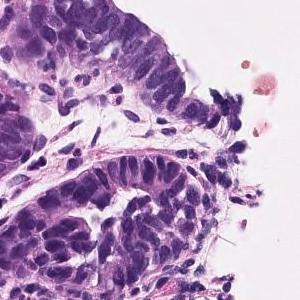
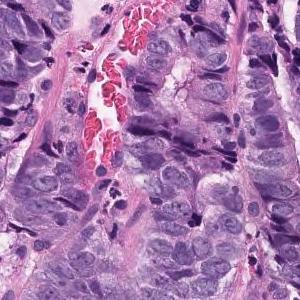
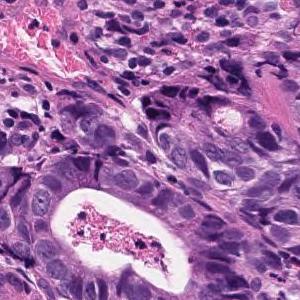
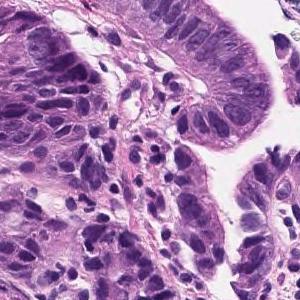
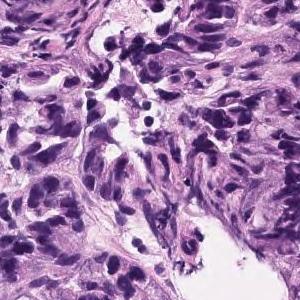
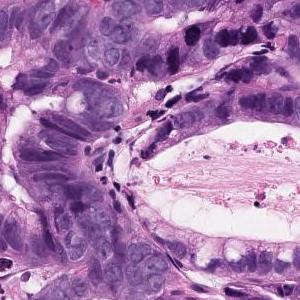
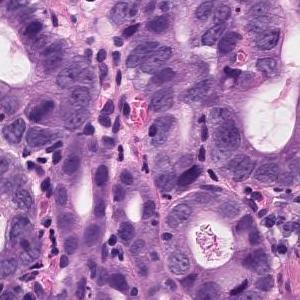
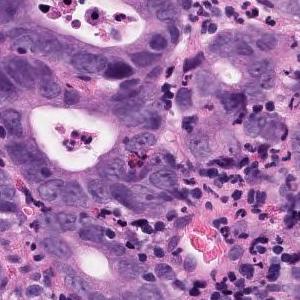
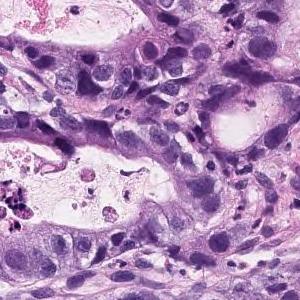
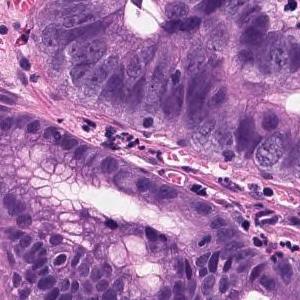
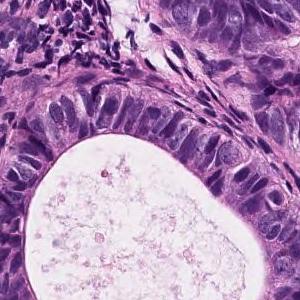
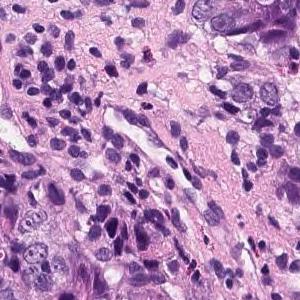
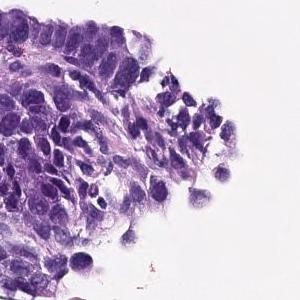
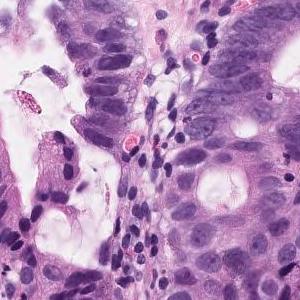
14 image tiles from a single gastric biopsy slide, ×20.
Pathology report for the biopsy slide these tiles were cut from. Both the report and the diagnosis are for the whole slide: these tiles need not show every feature named, and some of the tissue shown may not be tumor.
The swollen atypical epithelium of the nucleus forms an irregular ductal structure and proliferates. moderately differentiated tubular adenocarcinoma
